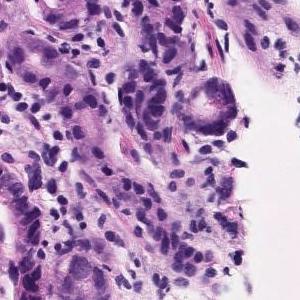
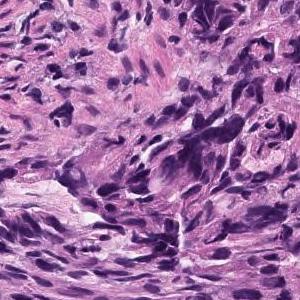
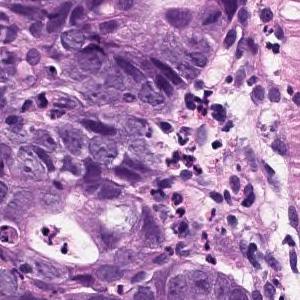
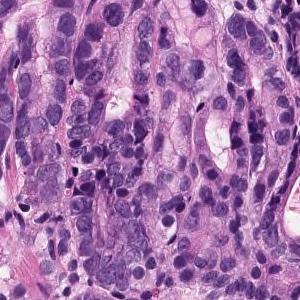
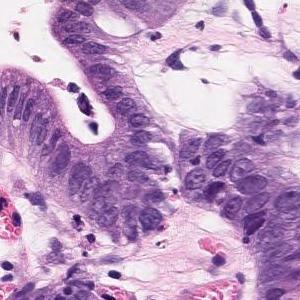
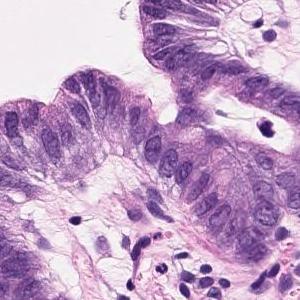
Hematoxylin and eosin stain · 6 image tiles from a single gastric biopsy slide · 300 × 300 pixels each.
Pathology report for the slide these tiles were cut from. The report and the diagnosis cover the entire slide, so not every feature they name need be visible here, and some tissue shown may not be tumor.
The swollen atypical epithelium of the nucleus forms an irregular ductal structure and proliferates. moderately differentiated tubular adenocarcinoma
